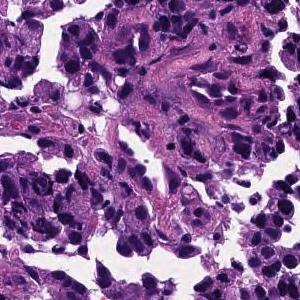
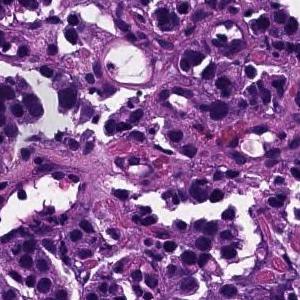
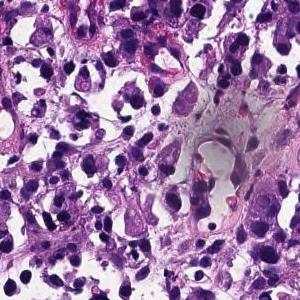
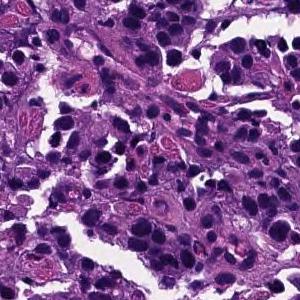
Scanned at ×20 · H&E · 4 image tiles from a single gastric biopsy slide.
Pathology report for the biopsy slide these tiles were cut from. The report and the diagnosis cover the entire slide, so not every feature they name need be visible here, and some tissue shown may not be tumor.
The superficial epithelium shows a large alveolar shape and infiltrates tumor tissue. Poorly differentiated adenocarcinoma, solid-type
Histologic type: Poorly differentiated adenocarcinoma, solid type (Japanese Classification of Gastric Carcinoma). The WHO 2019 equivalent is tubular adenocarcinoma, poorly differentiated.
